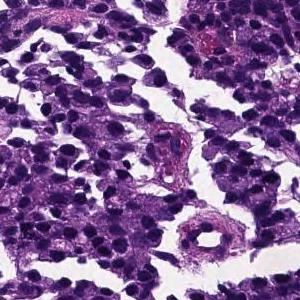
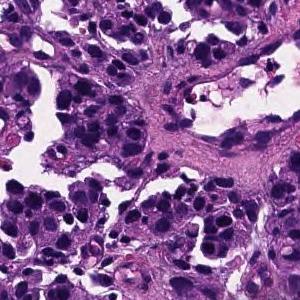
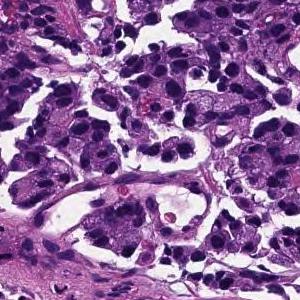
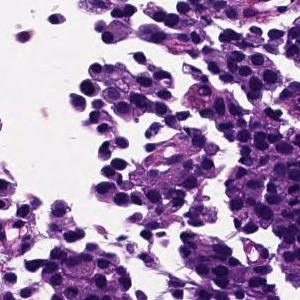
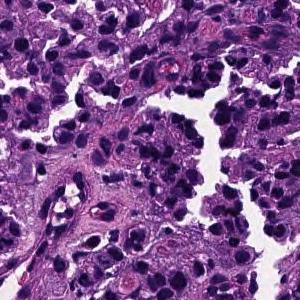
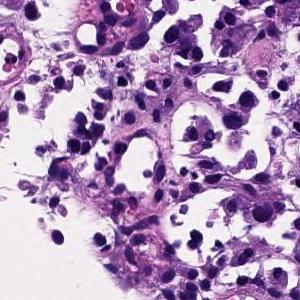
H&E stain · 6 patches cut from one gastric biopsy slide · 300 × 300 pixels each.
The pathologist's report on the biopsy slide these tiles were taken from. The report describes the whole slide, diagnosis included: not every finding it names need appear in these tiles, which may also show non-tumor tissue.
The superficial epithelium shows a large alveolar shape and infiltrates tumor tissue. Poorly differentiated adenocarcinoma, solid-type
Tumor subtype: poorly differentiated adenocarcinoma, solid type. This name comes from the Japanese Classification of Gastric Carcinoma; the WHO 2019 classification calls it tubular adenocarcinoma, poorly differentiated.
